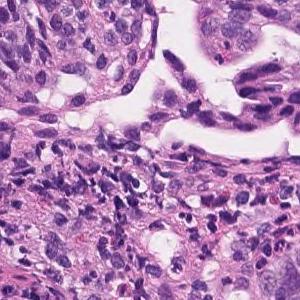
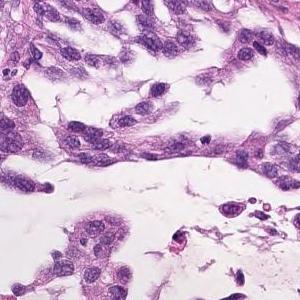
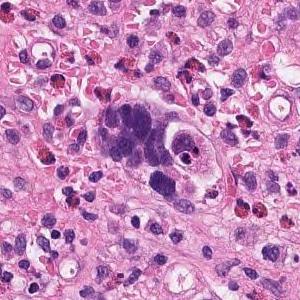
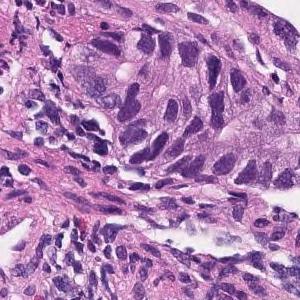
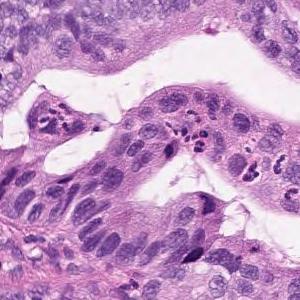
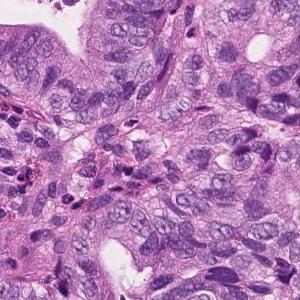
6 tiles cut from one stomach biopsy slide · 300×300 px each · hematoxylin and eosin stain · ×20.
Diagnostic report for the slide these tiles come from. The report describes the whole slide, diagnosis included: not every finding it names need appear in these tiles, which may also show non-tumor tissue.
Atypical epithelium forming papillary or sieving ducts and infiltrating growth is observed. Papillary adenocarcinoma.
